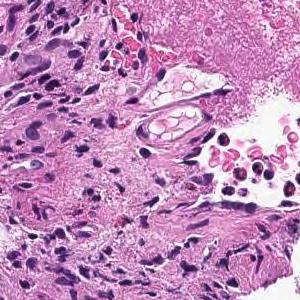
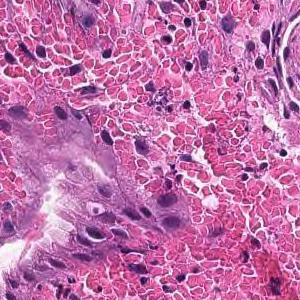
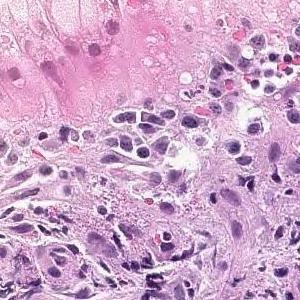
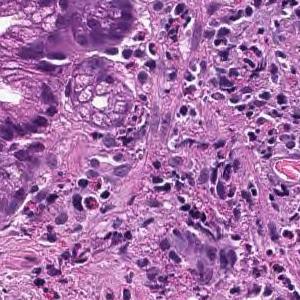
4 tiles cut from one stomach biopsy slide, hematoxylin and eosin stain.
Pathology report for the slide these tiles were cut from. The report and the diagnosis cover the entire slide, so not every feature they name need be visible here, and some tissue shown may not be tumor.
In the superficial epithelium, tumor tissue that invades by forming medium-sized to small, irregular ducts is observed. moderately differentiated tubular adenocarcinoma.
